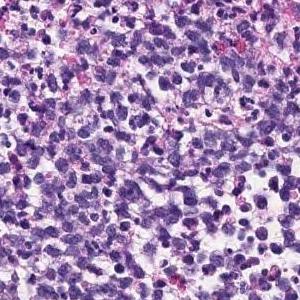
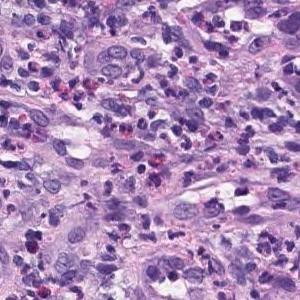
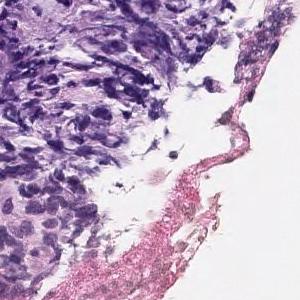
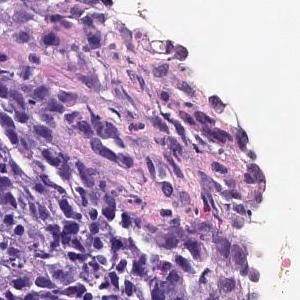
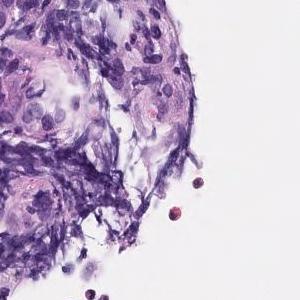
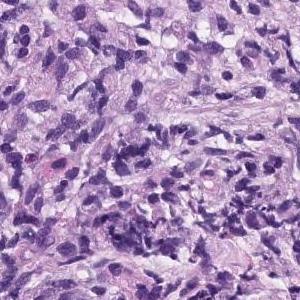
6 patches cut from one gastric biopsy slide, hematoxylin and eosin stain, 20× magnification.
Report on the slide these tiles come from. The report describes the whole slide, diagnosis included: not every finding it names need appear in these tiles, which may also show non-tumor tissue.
The superficial epithelium shows a large sheet-like shape, and some tumor tissue infiltrates with small irregular ducts. Poorly differentiated adenocarcinoma, solid-type
Histological subtype: Poorly differentiated adenocarcinoma, solid type. This name comes from the Japanese Classification of Gastric Carcinoma; the WHO 2019 classification calls it tubular adenocarcinoma, poorly differentiated.
